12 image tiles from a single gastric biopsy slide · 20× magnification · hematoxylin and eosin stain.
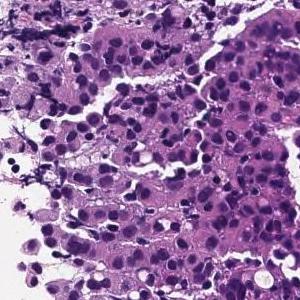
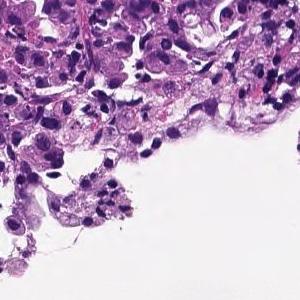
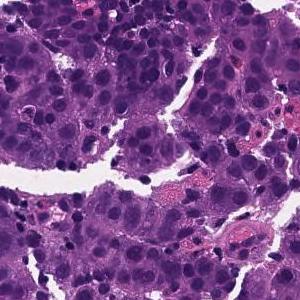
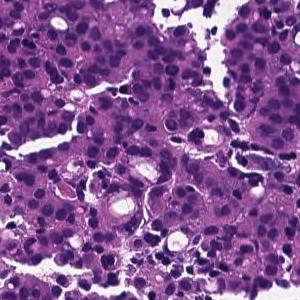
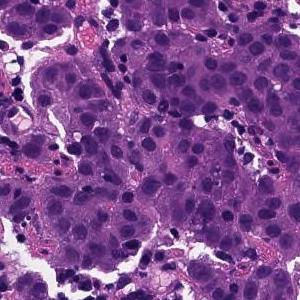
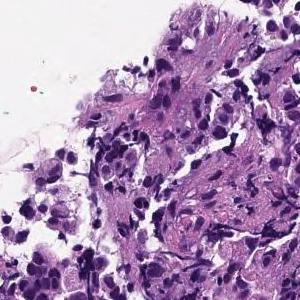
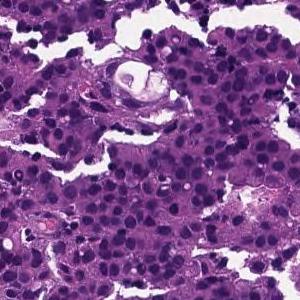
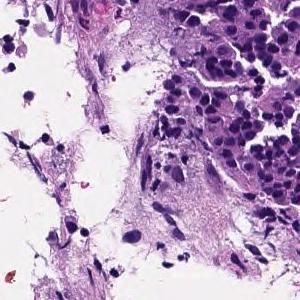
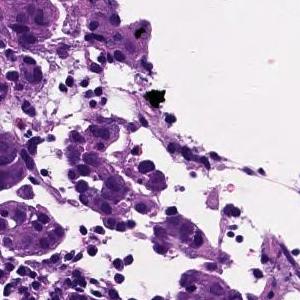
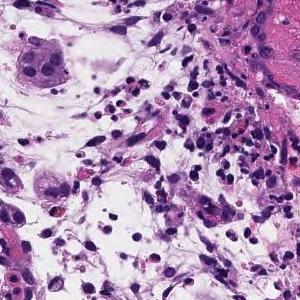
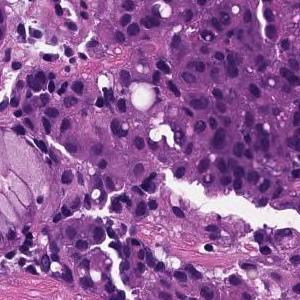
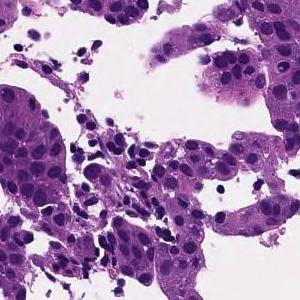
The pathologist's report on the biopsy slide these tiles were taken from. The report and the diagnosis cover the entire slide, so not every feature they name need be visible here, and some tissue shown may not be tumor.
The superficial epithelium shows a large sheet-like shape, and some tumor tissue infiltrates with small irregular ducts. Poorly differentiated adenocarcinoma, solid-type
Histological subtype: Poorly differentiated adenocarcinoma, solid type, a category of the Japanese Classification of Gastric Carcinoma; in the WHO 2019 classification it is tubular adenocarcinoma, poorly differentiated.
